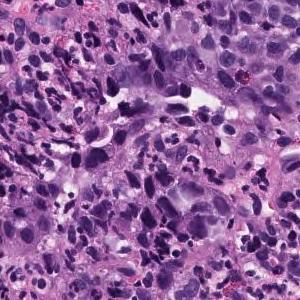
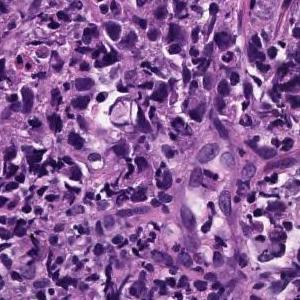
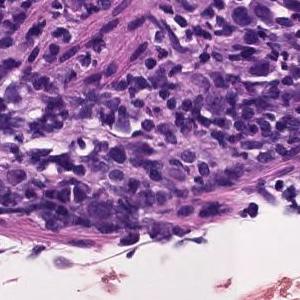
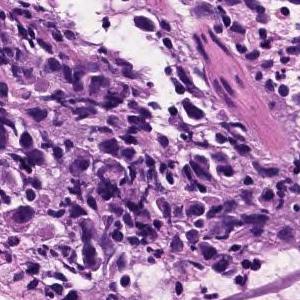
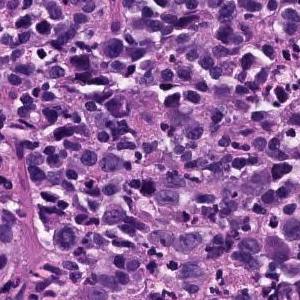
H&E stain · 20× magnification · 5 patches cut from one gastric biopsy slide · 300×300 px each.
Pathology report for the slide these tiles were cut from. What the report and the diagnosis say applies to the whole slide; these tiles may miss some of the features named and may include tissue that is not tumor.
Poorly differentiated, solid adenocarcinoma (poorly differentiated adenocarcinoma, solid type) with tumor tissue diffusely infiltrated with atypical epithelial cells
Classified as poorly differentiated adenocarcinoma, solid type. This name comes from the Japanese Classification of Gastric Carcinoma; the WHO 2019 classification calls it tubular adenocarcinoma, poorly differentiated.
